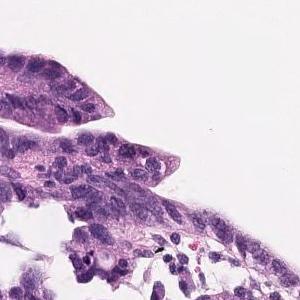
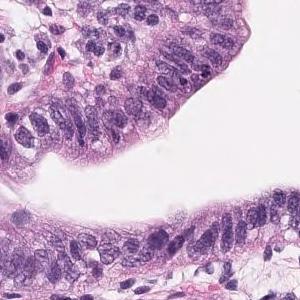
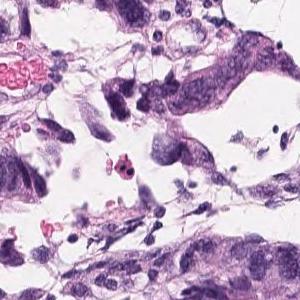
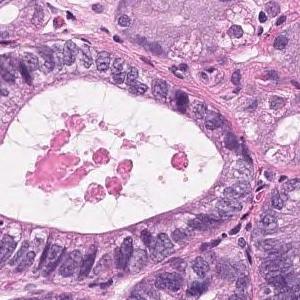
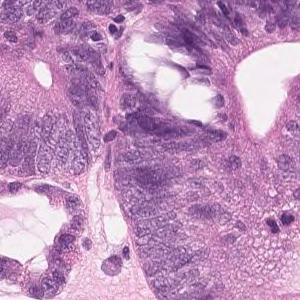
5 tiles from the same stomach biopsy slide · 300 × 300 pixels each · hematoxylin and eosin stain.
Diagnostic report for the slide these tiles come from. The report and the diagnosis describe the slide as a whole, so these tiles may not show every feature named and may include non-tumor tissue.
Atypical ducts with severe atypia are densely populated in the superficial epithelium, and tumor tissue with hyperplasia is observed. Well differentiated tubular adenocarcinoma
